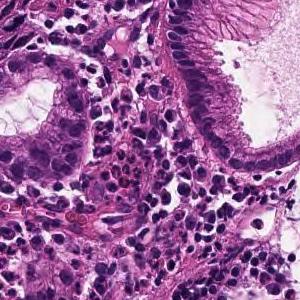
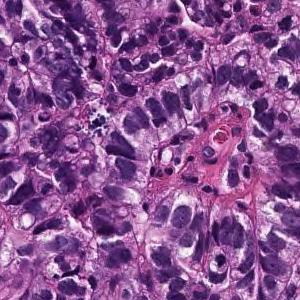
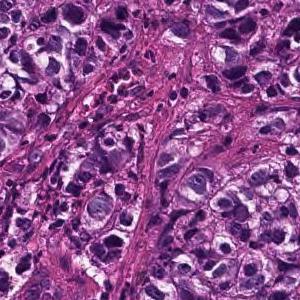
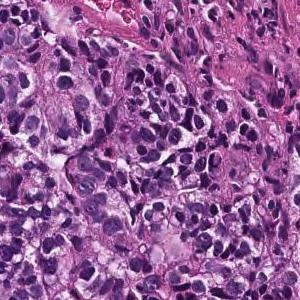
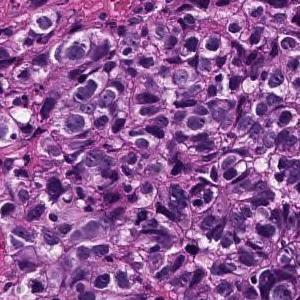
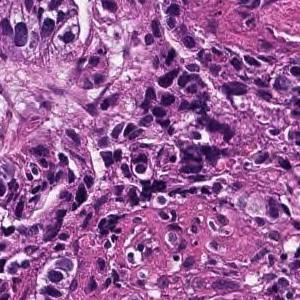
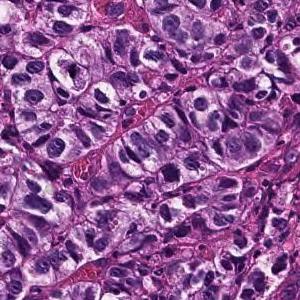
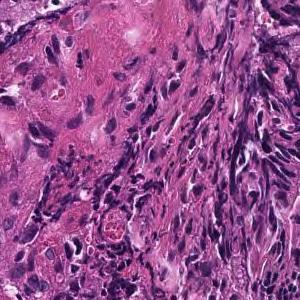
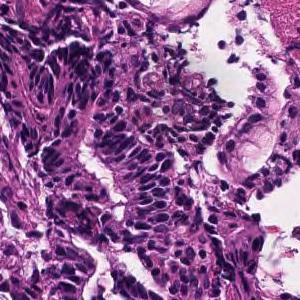
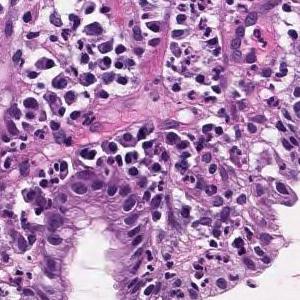
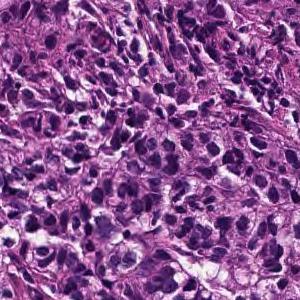
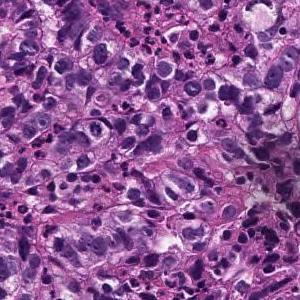
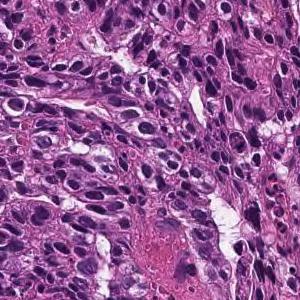
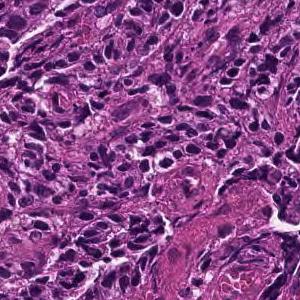
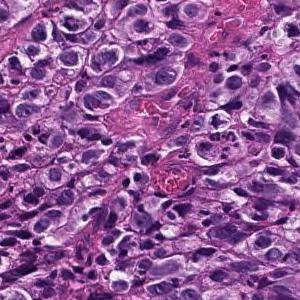
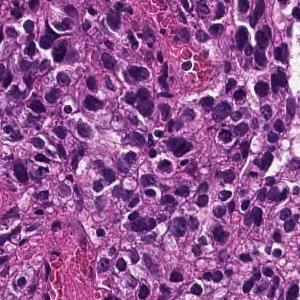
20× magnification; H&E stain; 16 tiles cut from one stomach biopsy slide; 300 × 300 pixels each.
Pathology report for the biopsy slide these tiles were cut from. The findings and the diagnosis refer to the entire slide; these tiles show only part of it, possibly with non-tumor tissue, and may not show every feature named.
In the superficial epithelium, tumor tissue that invades by forming medium-sized to small, irregular ducts is observed. moderately differentiated tubular adenocarcinoma.
